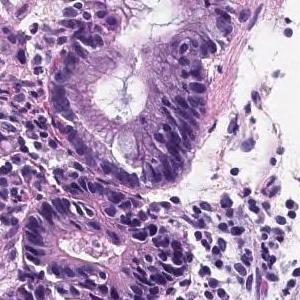
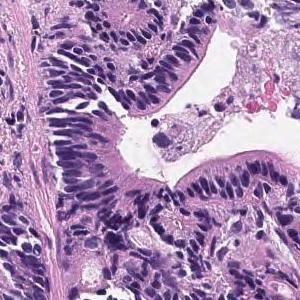
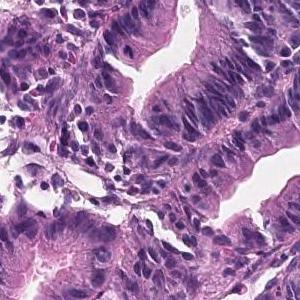
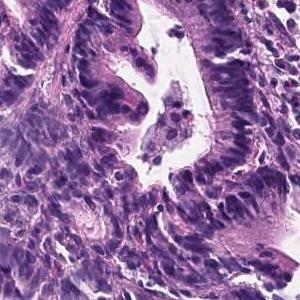
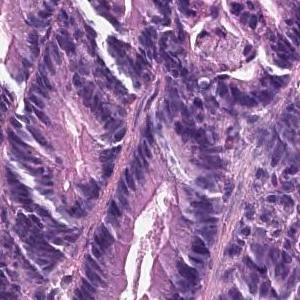
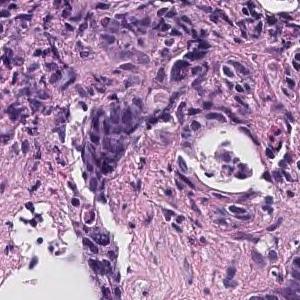
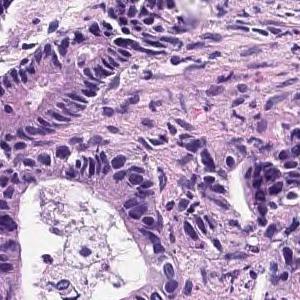
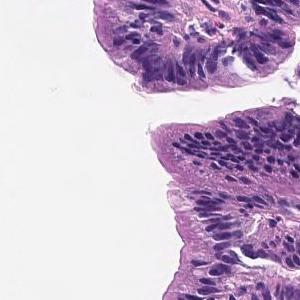
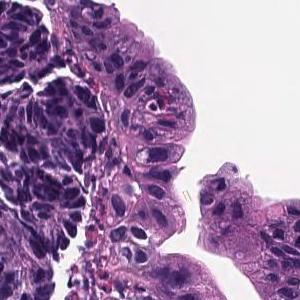
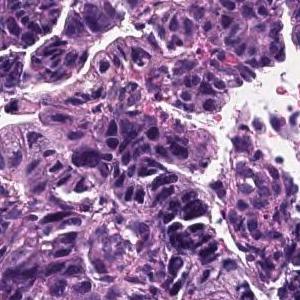
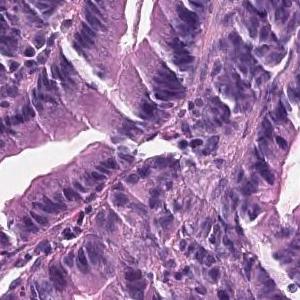
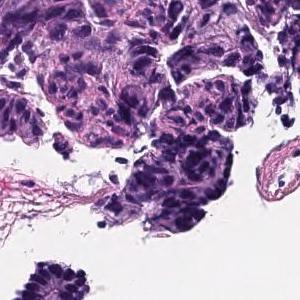
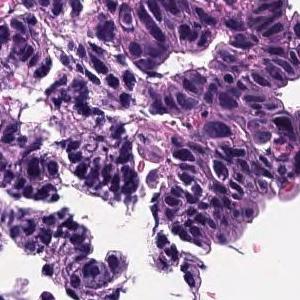
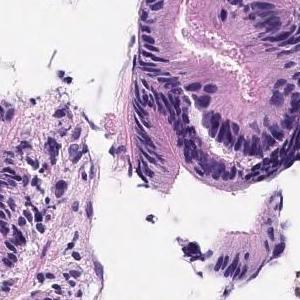
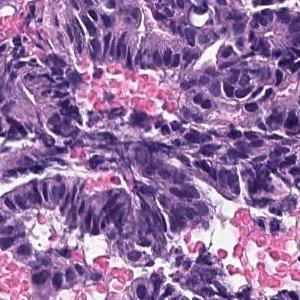
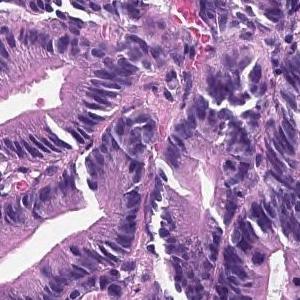
H&E; 20× magnification; 16 tiles from the same stomach biopsy slide.
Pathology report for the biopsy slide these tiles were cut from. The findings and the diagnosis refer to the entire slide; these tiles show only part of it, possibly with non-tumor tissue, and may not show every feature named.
In the superficial epithelium, tumor tissue that invades by forming medium-sized to small, irregular ducts is observed. Moderately differentiated adenocarcinoma.
Classified as moderately differentiated tubular adenocarcinoma.
